14 image tiles from a single gastric biopsy slide; 300 × 300 pixels each; H&E; 20× magnification.
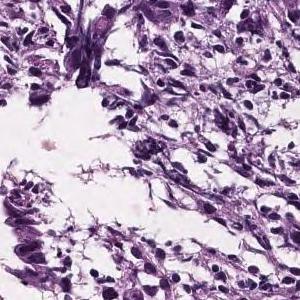
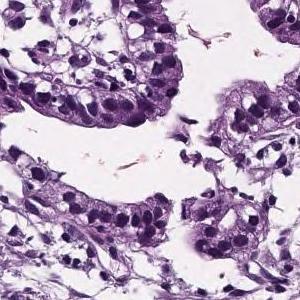
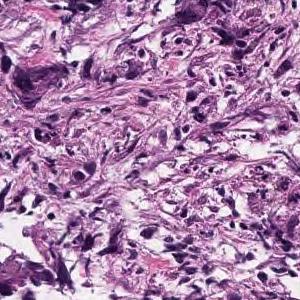
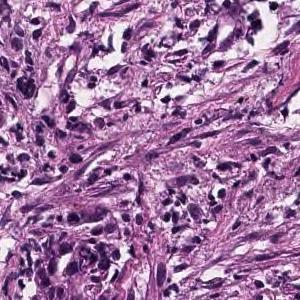
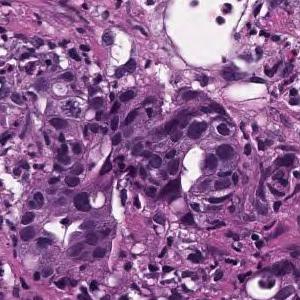
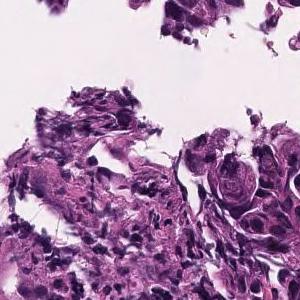
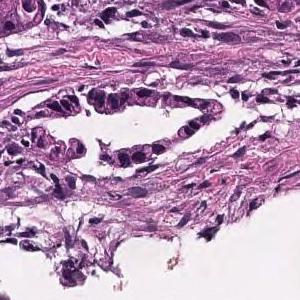
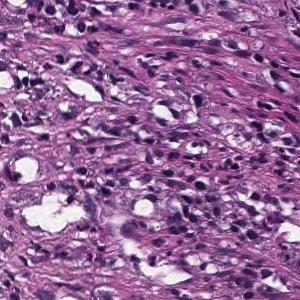
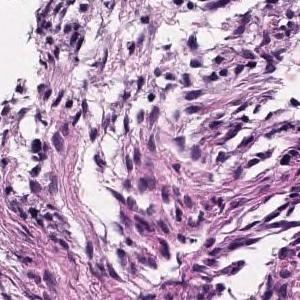
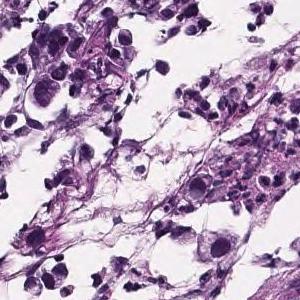
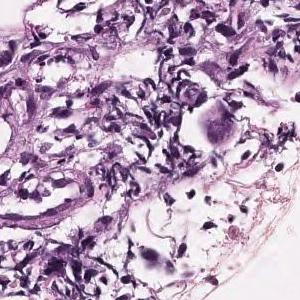
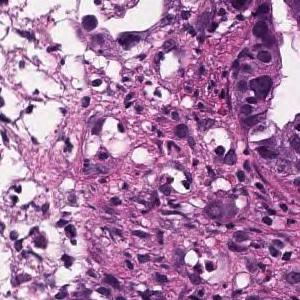
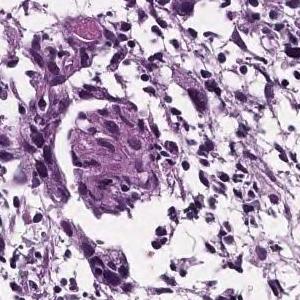
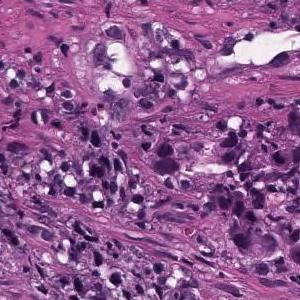
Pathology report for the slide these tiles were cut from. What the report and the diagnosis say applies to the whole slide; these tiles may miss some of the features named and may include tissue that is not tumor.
In the superficial epithelium, tumor tissue that invades by forming medium-sized to small, irregular ducts is observed. moderately differentiated tubular adenocarcinoma.
